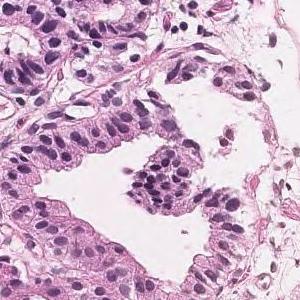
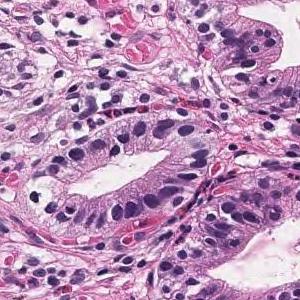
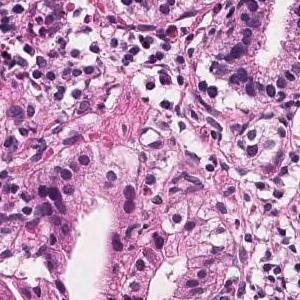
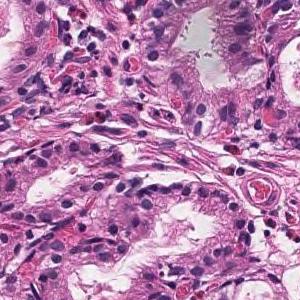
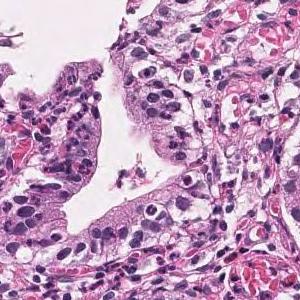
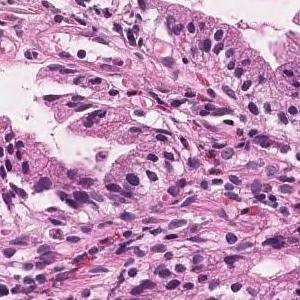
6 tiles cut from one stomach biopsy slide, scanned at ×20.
Pathology report for the biopsy slide these tiles were cut from. What the report and the diagnosis say applies to the whole slide; these tiles may miss some of the features named and may include tissue that is not tumor.
On the superficial epithelium, tumor tissue consisting of large, irregular glandular ducts partially fused and infiltrated is observed. Well differentiated tubular adenocarcinoma
